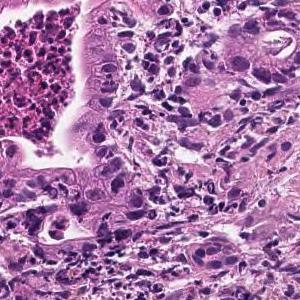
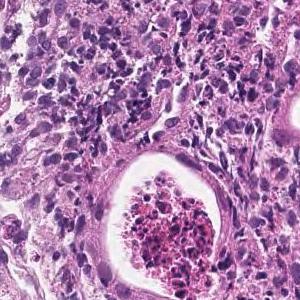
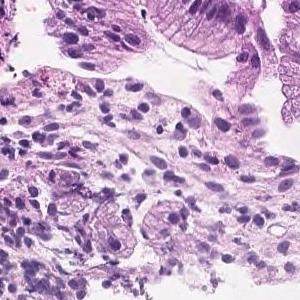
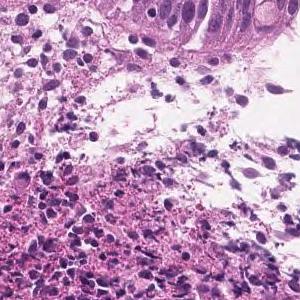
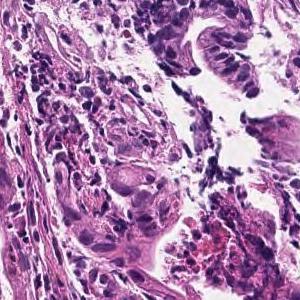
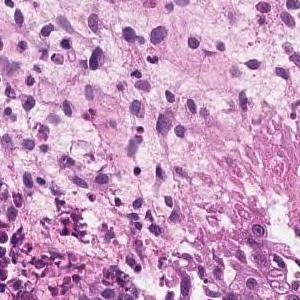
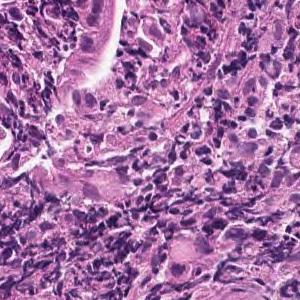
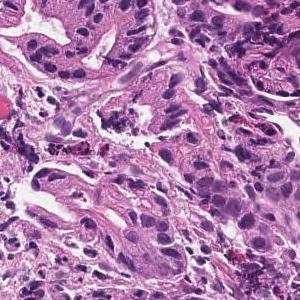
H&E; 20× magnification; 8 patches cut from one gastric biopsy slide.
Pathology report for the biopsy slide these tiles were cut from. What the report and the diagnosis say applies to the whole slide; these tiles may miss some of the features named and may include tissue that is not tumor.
In the superficial epithelium, tumor tissue that invades by forming medium-sized to small, irregular ducts is observed. moderately differentiated tubular adenocarcinoma.
